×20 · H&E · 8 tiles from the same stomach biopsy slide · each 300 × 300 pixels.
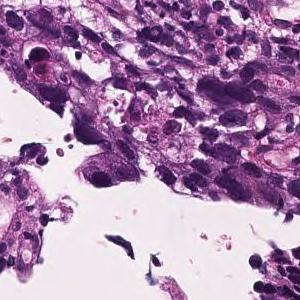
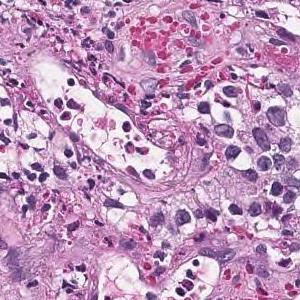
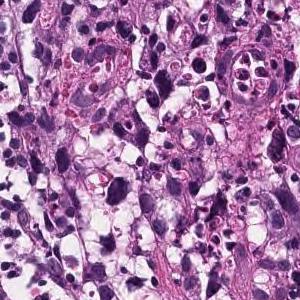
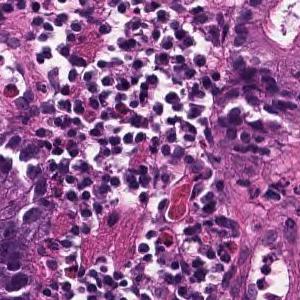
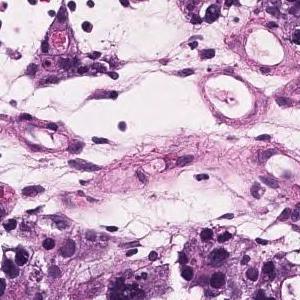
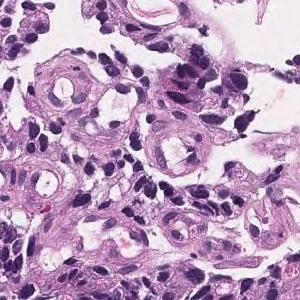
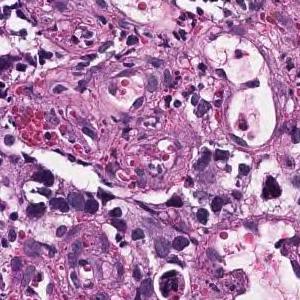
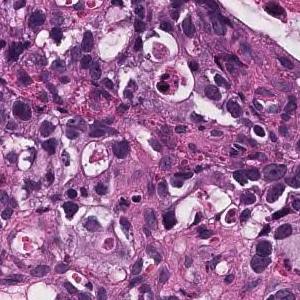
The pathologist's report on the biopsy slide these tiles were taken from. The report and the diagnosis cover the entire slide, so not every feature they name need be visible here, and some tissue shown may not be tumor.
Tumor tissue consisting of medium-sized, cord-like or irregular glandular infiltration is observed in the superficial epithelium. Poorly differentiated adenocarcinoma, non-solid type or moderately differentiated tubular adenocarcinoma
"Non-solid type" is a category of the Japanese Classification of Gastric Carcinoma.
